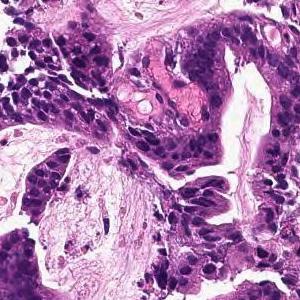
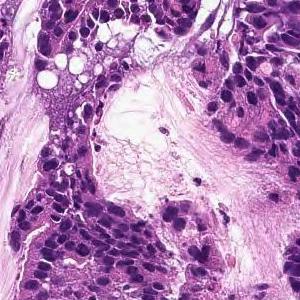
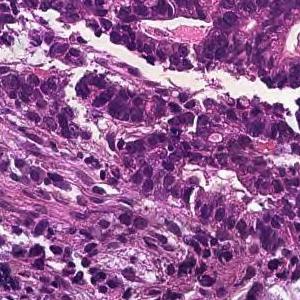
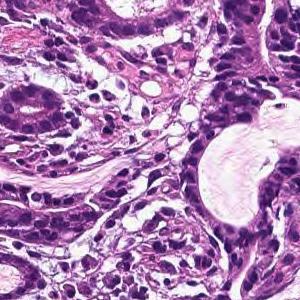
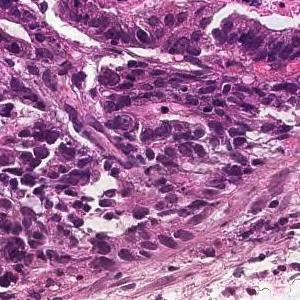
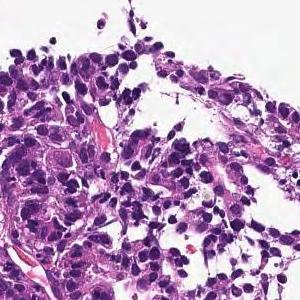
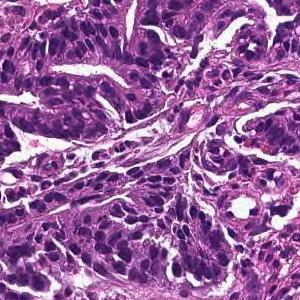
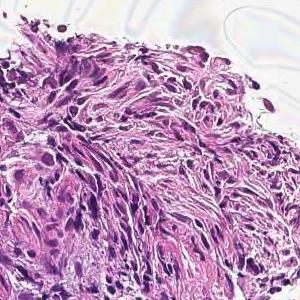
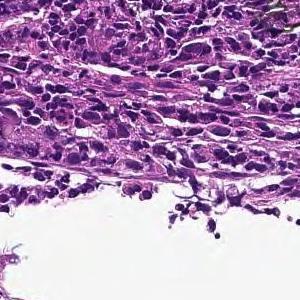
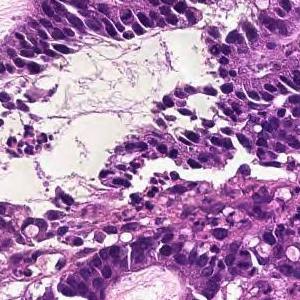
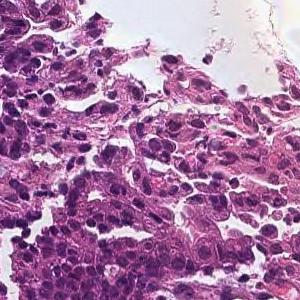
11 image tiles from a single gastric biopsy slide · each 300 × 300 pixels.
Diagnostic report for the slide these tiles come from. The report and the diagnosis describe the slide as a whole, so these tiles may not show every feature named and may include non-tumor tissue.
In the superficial epithelium, tumor tissue that invades by forming medium-sized to small, irregular ducts is observed. moderately differentiated tubular adenocarcinoma.
